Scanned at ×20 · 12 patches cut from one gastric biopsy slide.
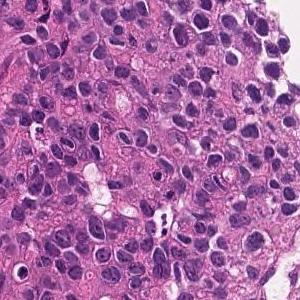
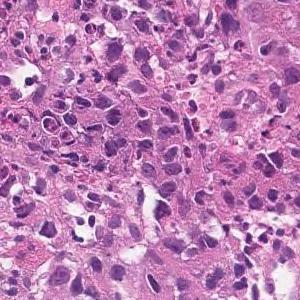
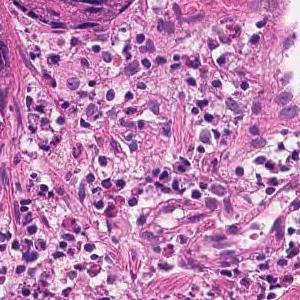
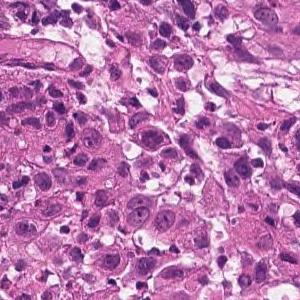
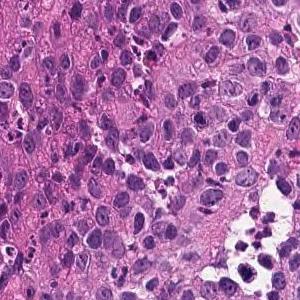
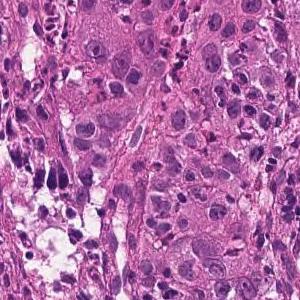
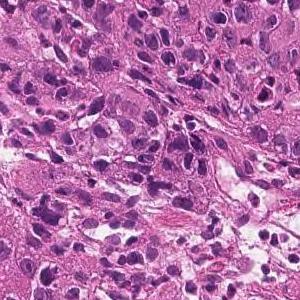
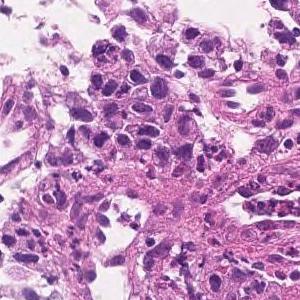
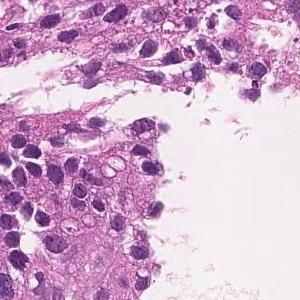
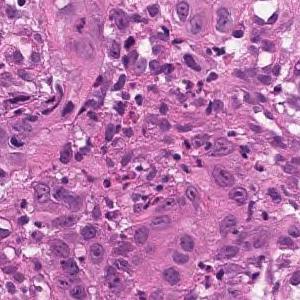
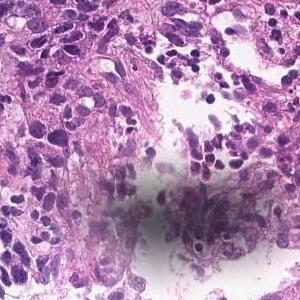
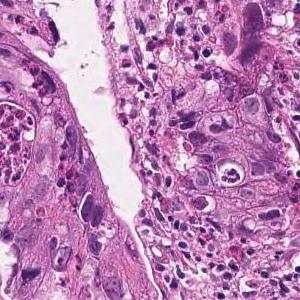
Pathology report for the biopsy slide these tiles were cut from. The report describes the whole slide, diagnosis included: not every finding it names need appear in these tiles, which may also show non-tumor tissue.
The superficial epithelium shows a large sheet-like shape, and some tumor tissue infiltrates with small irregular ducts. Poorly differentiated adenocarcinoma, solid-type
Subtype: Poorly differentiated adenocarcinoma, solid type, a category of the Japanese Classification of Gastric Carcinoma; in the WHO 2019 classification it is tubular adenocarcinoma, poorly differentiated.
